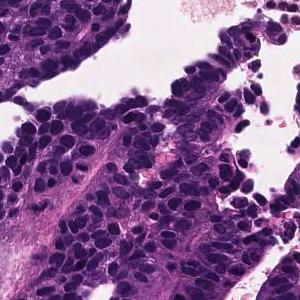
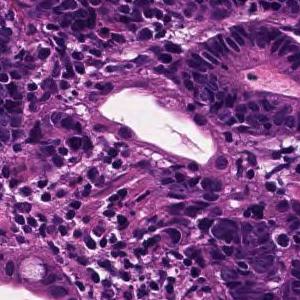
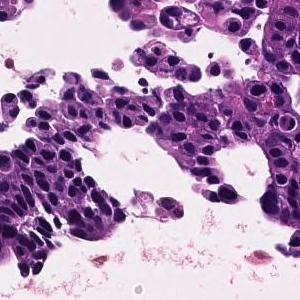
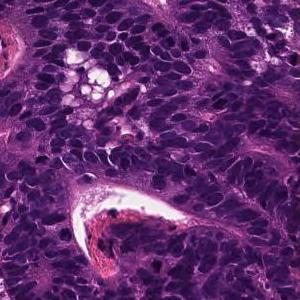
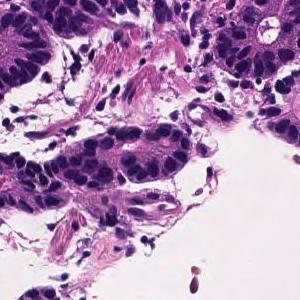
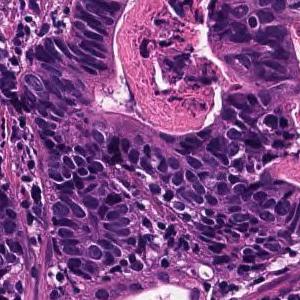
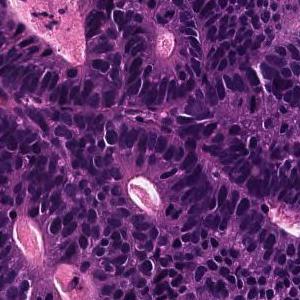
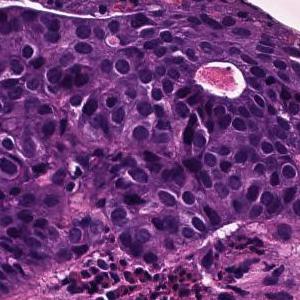
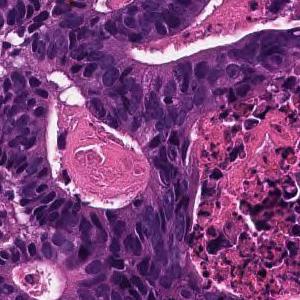
H&E stain · 9 patches cut from one gastric biopsy slide.
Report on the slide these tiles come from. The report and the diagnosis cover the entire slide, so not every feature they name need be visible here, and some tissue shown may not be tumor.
In the superficial epithelium, tumor tissue that invades by forming medium-sized to small, irregular ducts is observed. moderately differentiated tubular adenocarcinoma.
